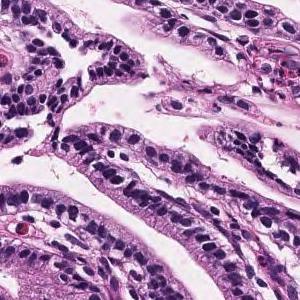
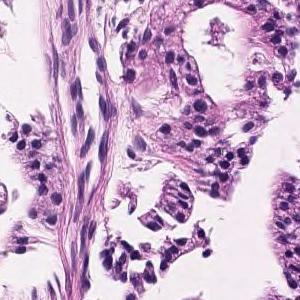
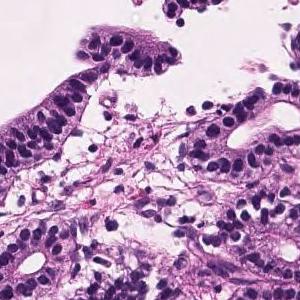
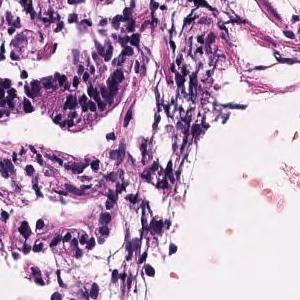
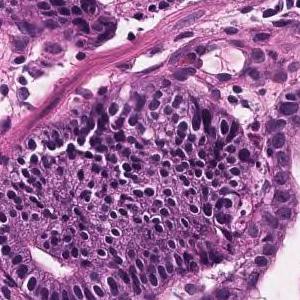
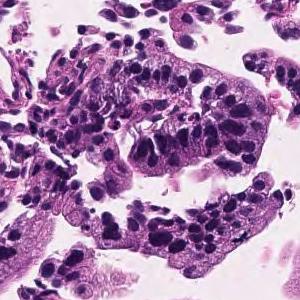
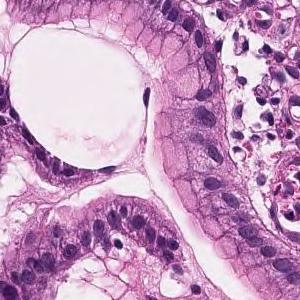
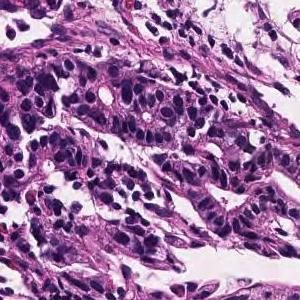
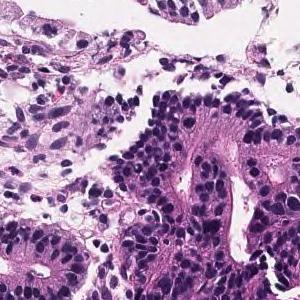
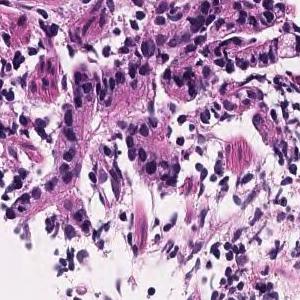
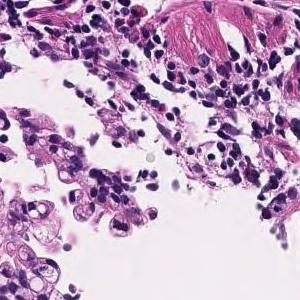
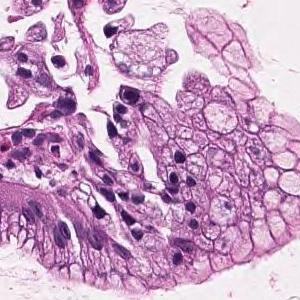
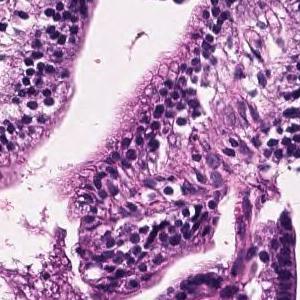
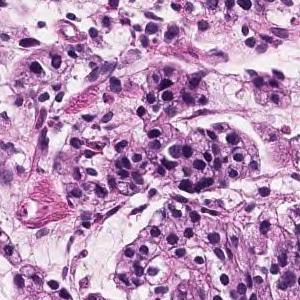
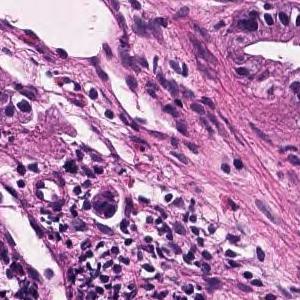
Hematoxylin and eosin stain · 15 image tiles from a single gastric biopsy slide · 300×300 px each.
The pathologist's report on the biopsy slide these tiles were taken from. The findings and the diagnosis refer to the entire slide; these tiles show only part of it, possibly with non-tumor tissue, and may not show every feature named.
Tumor tissue consisting of large papillary structures or irregular glandular ducts partially fused and infiltrated is observed in the superficial epithelium. Well to moderately differentiated tubular adenocarcinoma.
Dataset label: moderately differentiated tubular adenocarcinoma.
